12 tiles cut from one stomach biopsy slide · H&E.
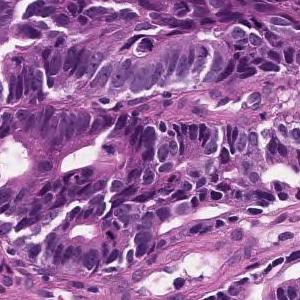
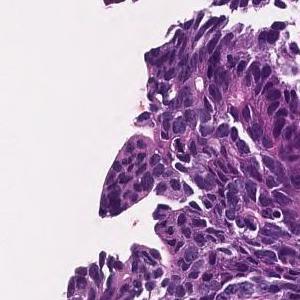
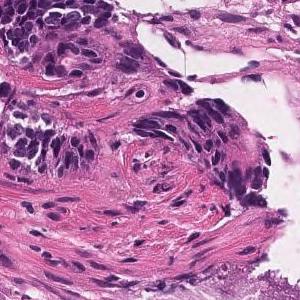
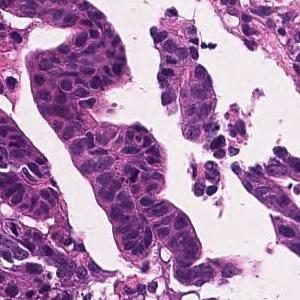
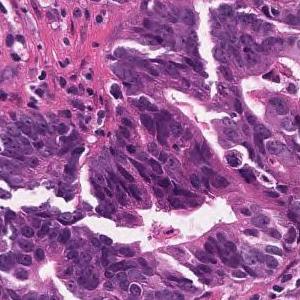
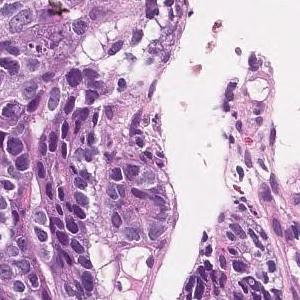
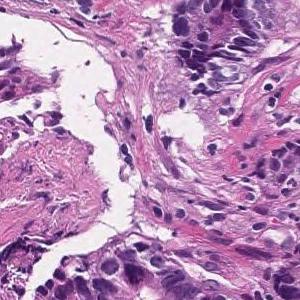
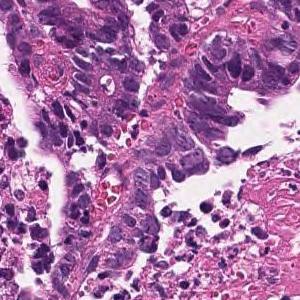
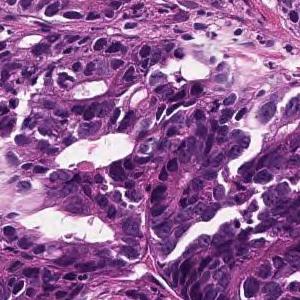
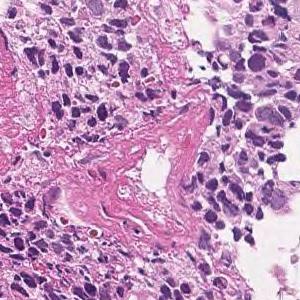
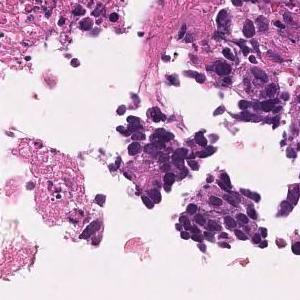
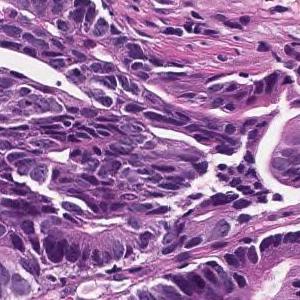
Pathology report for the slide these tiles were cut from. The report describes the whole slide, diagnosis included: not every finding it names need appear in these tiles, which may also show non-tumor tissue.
In the superficial epithelium, tumor tissue that invades by forming medium-sized to small, irregular ducts is observed. moderately differentiated tubular adenocarcinoma.
